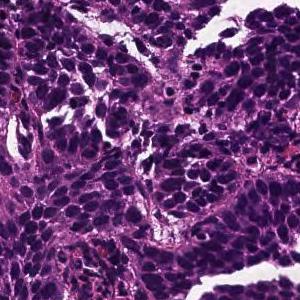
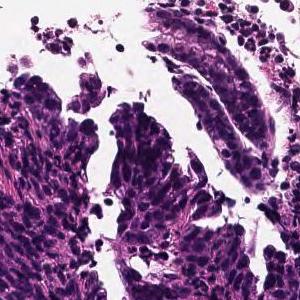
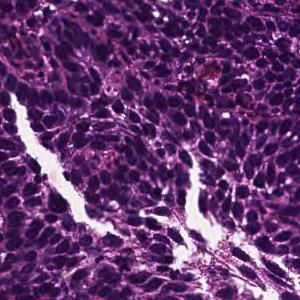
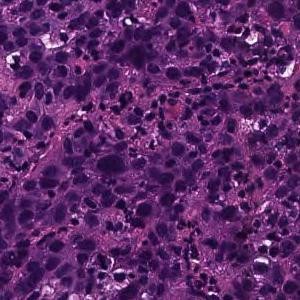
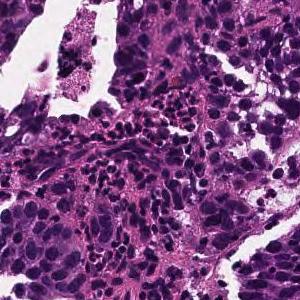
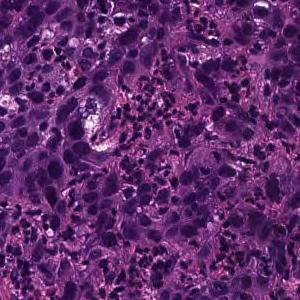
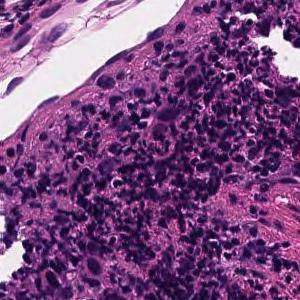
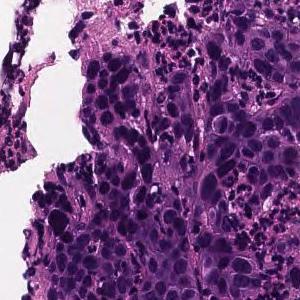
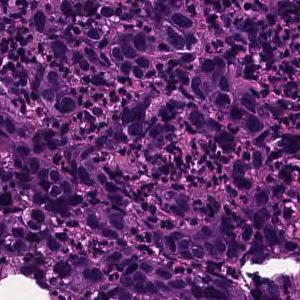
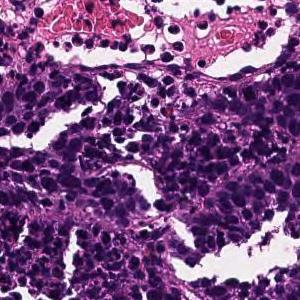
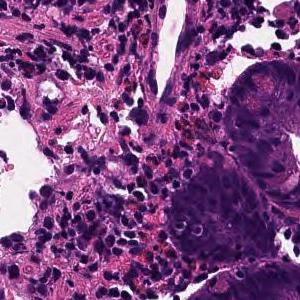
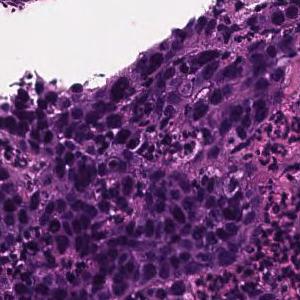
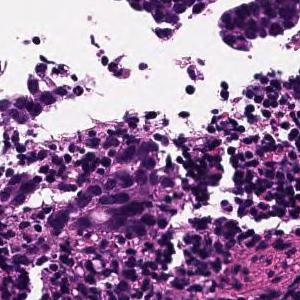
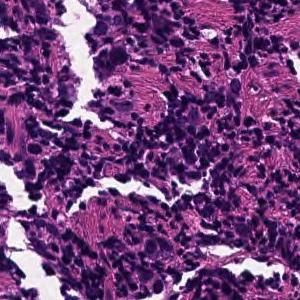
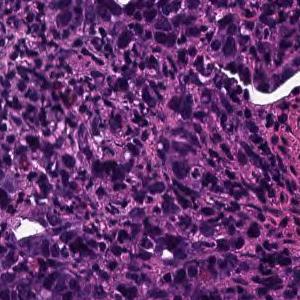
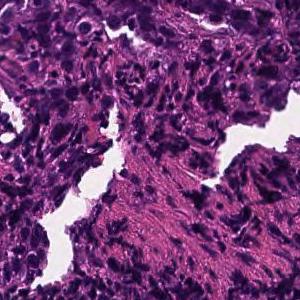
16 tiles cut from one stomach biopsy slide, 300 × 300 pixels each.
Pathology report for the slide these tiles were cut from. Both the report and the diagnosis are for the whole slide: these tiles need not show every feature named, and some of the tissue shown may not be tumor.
Tumor tissue consisting of cord-like or small, irregular glandular ducts fused and infiltrated is observed in the superficial epithelium. Poorly differentiated adenocarcinoma, non-solid type
"Non-solid type" is a category of the Japanese Classification of Gastric Carcinoma.
